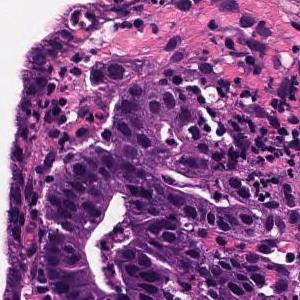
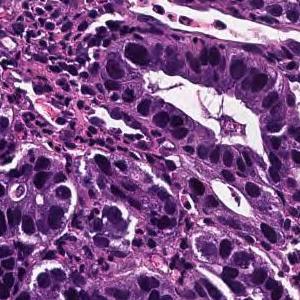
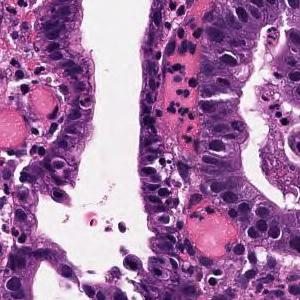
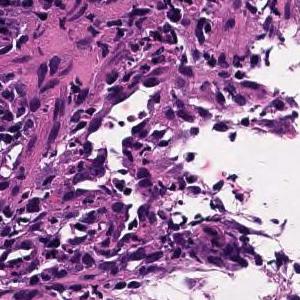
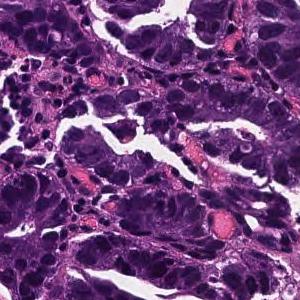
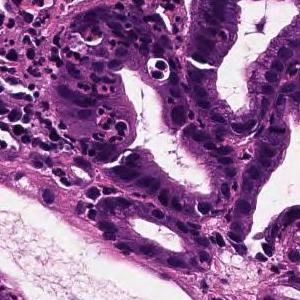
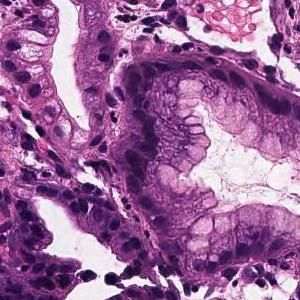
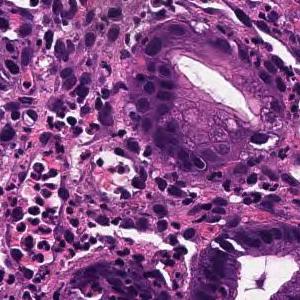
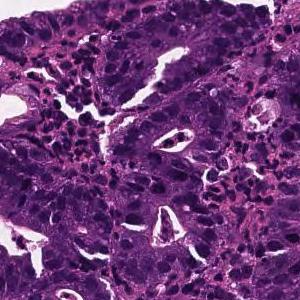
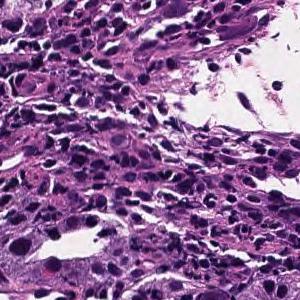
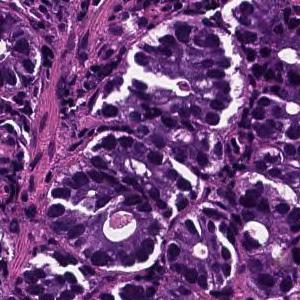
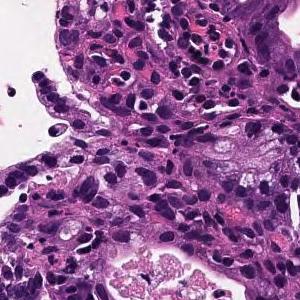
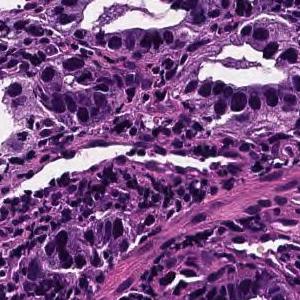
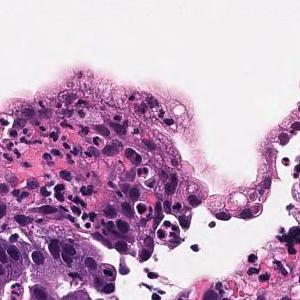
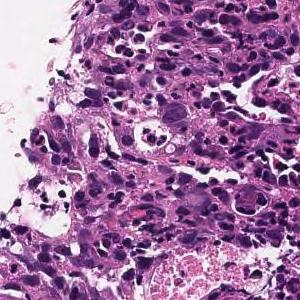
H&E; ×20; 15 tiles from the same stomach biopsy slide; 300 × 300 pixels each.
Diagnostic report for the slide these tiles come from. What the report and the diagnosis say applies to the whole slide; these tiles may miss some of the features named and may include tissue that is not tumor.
From the superficial epithelium to the muscularis mucosae, tumor tissue consisting of medium-sized and irregular glandular ducts infiltrating is observed. Well differentiated tubular adenocarcinoma
